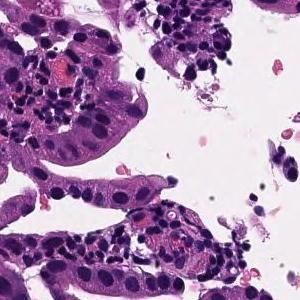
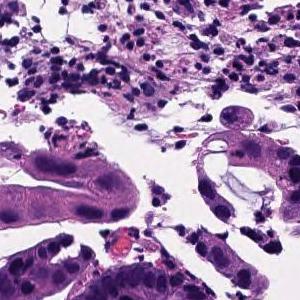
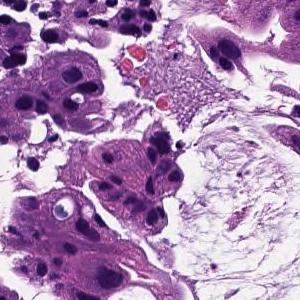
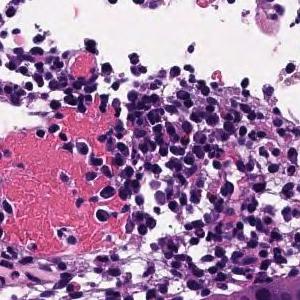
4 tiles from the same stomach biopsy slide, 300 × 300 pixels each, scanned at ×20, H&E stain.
The pathologist's report on the biopsy slide these tiles were taken from. The report and the diagnosis cover the entire slide, so not every feature they name need be visible here, and some tissue shown may not be tumor.
Tumor tissue consisting of large papillary structures is found in the superficial epithelium. Papillary adenocarcinoma.
